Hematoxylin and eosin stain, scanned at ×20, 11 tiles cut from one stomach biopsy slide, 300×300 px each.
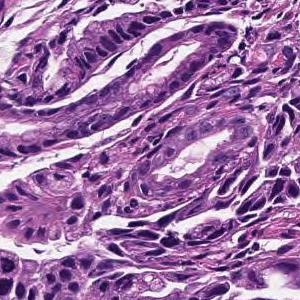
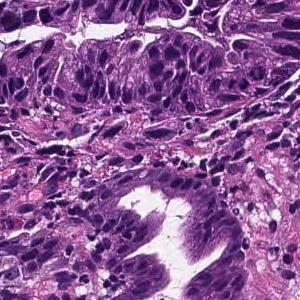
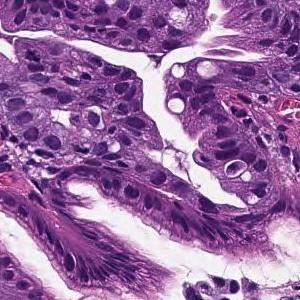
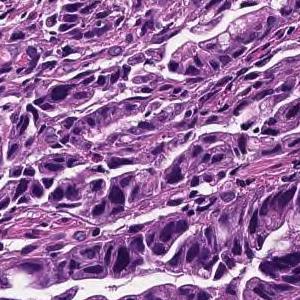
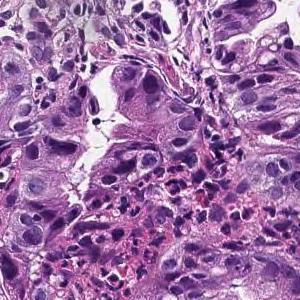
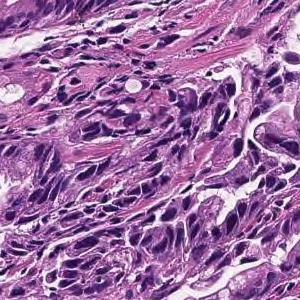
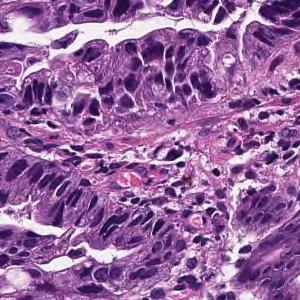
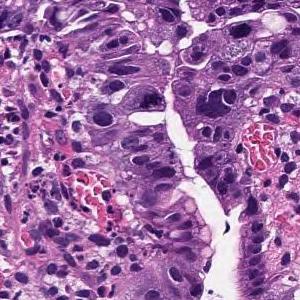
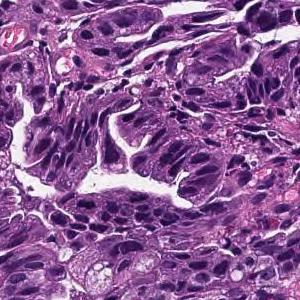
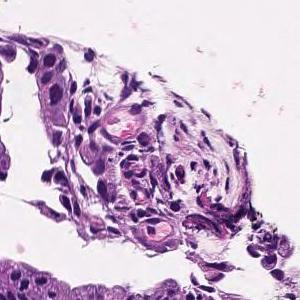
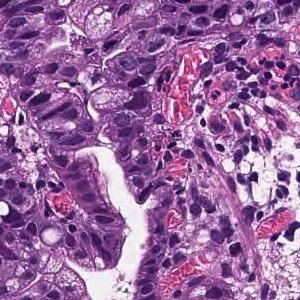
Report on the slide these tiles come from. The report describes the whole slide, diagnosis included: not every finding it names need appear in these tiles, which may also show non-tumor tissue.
Tumor cells are large, highly columnar, large club-shaped nuclei, and are associated with chromatin aggregation. Papillary adenocarcinoma.
